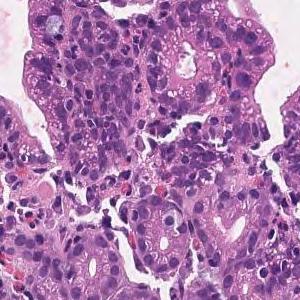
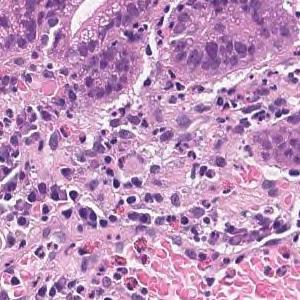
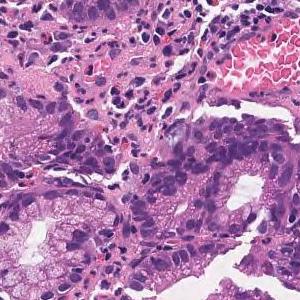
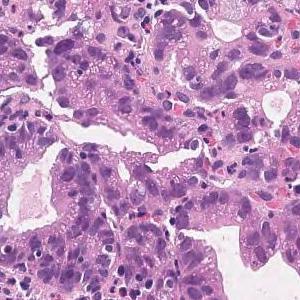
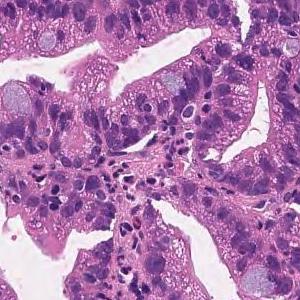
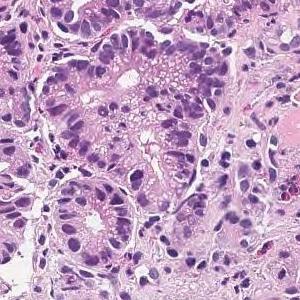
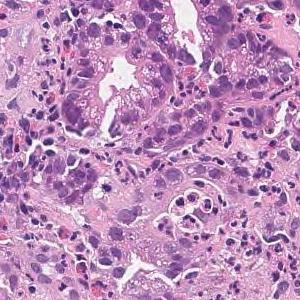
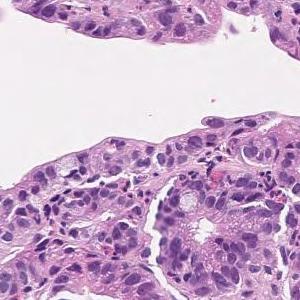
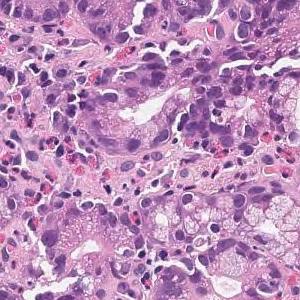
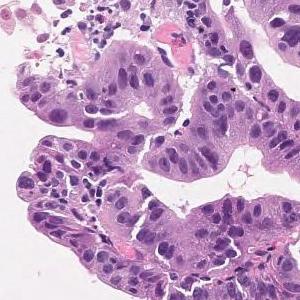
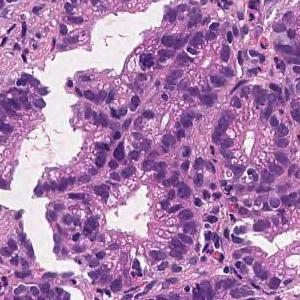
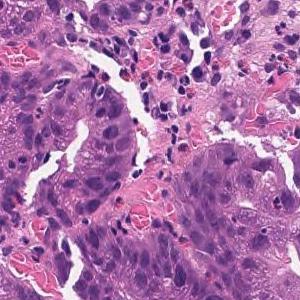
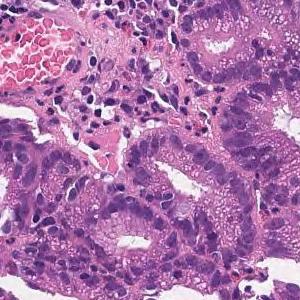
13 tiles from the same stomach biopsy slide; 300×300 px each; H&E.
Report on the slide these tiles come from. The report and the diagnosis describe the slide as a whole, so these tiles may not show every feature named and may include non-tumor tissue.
On the superficial epithelium, tumor tissue that infiltrates by forming medium-sized papillary or small irregular ducts is observed. Papillary adenocarcinoma
